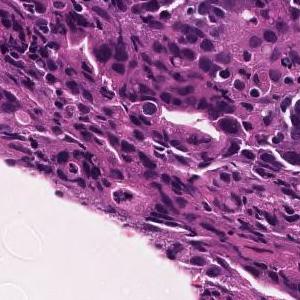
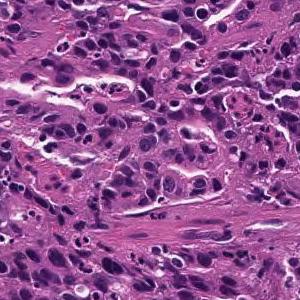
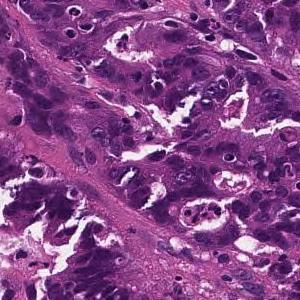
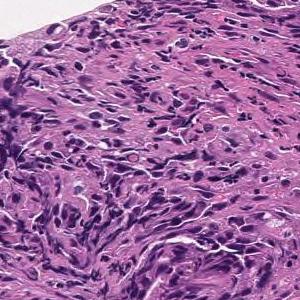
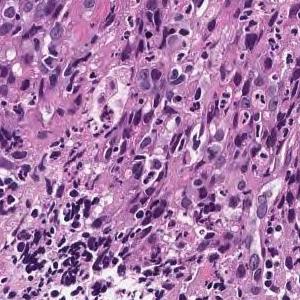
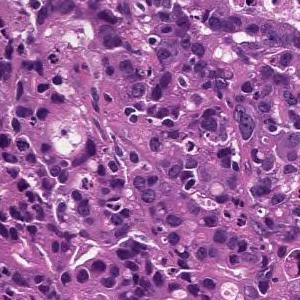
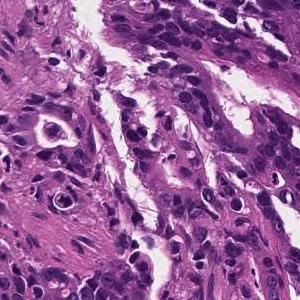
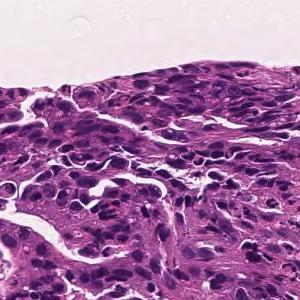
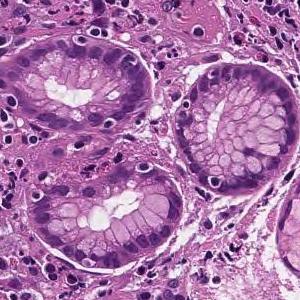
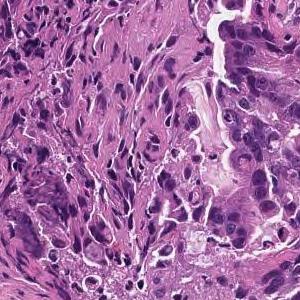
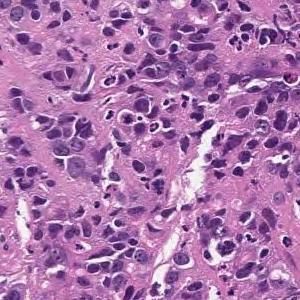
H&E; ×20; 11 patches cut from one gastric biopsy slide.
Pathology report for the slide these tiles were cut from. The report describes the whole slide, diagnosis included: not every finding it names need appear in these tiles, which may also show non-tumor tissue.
In the superficial epithelium, tumor tissue that invades by forming medium-sized to small, irregular ducts is observed. moderately differentiated tubular adenocarcinoma.
